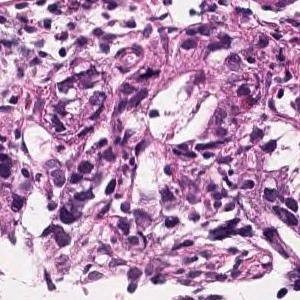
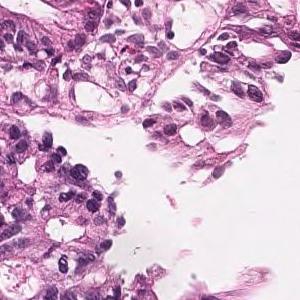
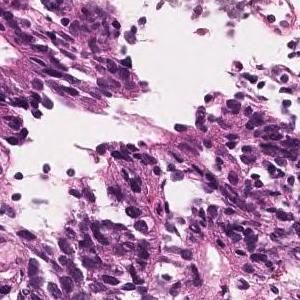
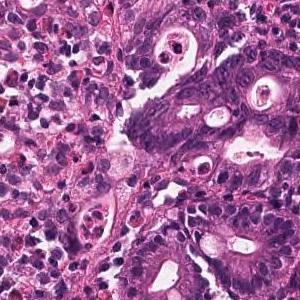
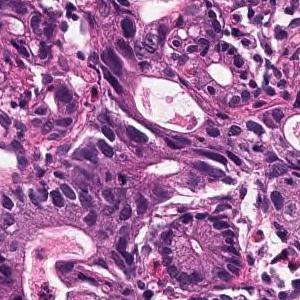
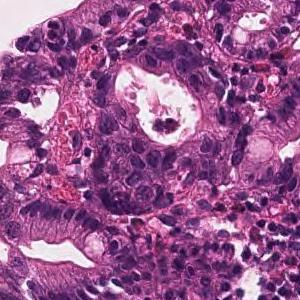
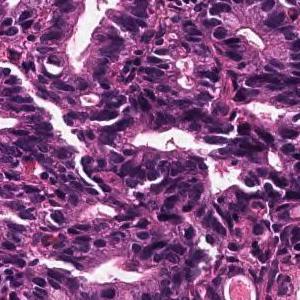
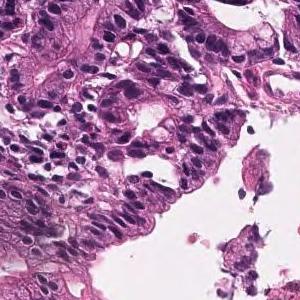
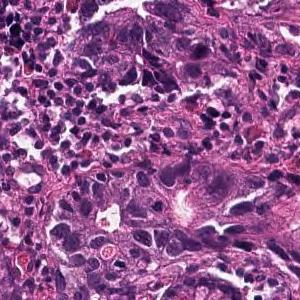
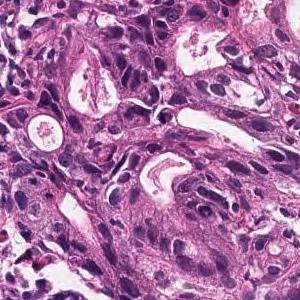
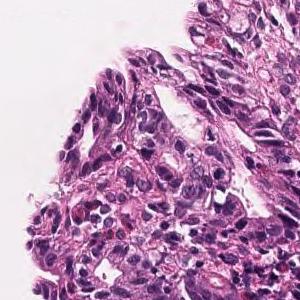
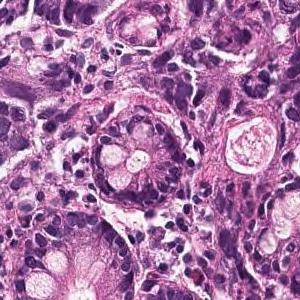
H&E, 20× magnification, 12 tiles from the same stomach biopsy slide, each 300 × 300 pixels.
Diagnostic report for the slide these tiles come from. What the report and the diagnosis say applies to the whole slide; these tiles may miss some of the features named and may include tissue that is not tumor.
On the superficial epithelium, tumor tissue consisting of large, irregular glandular ducts partially fused and infiltrated is observed. Well to moderately differentiated tubular adenocarcinoma (well differentiated tubular adenocarcinoma, moderately differentiated tubular adenocarcinoma)
Histological subtype: Well to moderately differentiated tubular adenocarcinoma.
